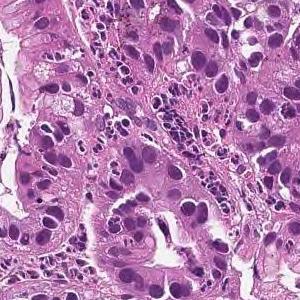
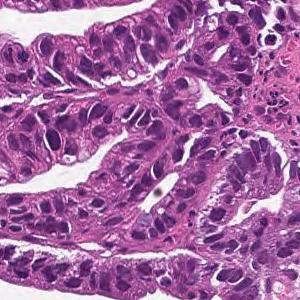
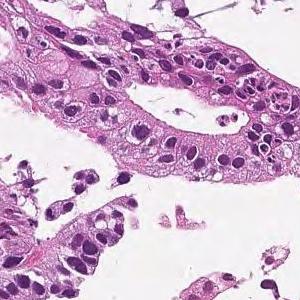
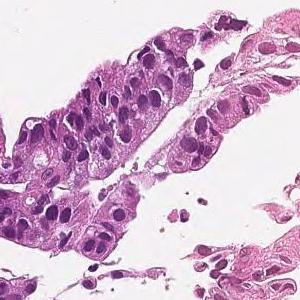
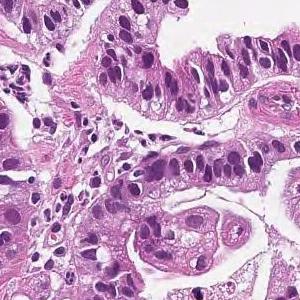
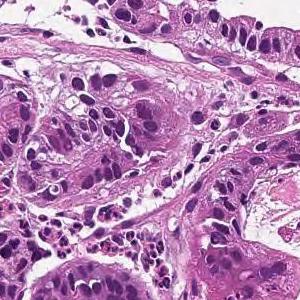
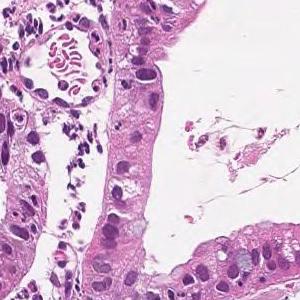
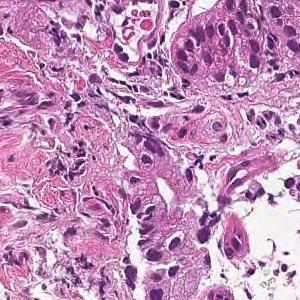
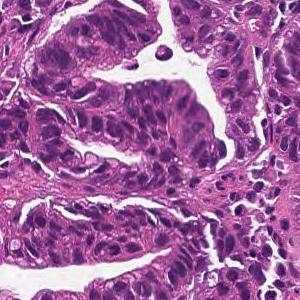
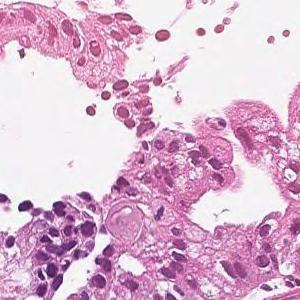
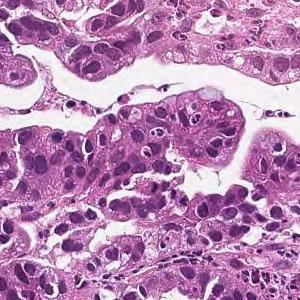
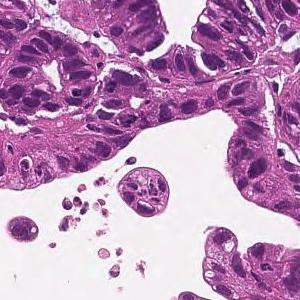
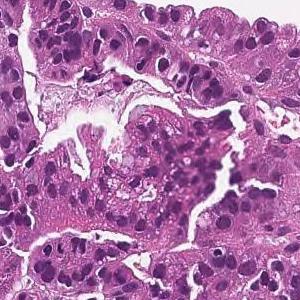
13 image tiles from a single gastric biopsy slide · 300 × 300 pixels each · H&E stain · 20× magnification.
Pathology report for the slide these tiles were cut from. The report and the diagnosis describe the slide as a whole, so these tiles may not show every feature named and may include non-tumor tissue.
On the superficial epithelium, tumor tissue that infiltrates by forming medium-sized papillary or small irregular ducts is observed. Papillary adenocarcinoma
